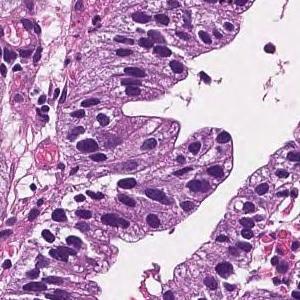
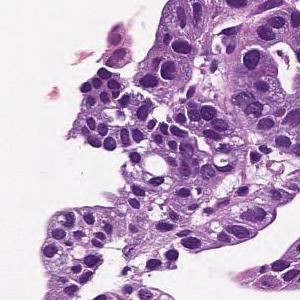
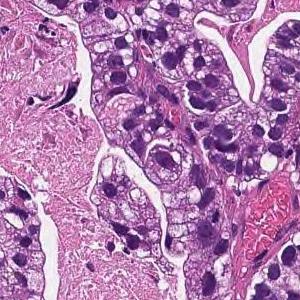
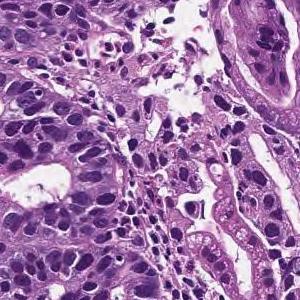
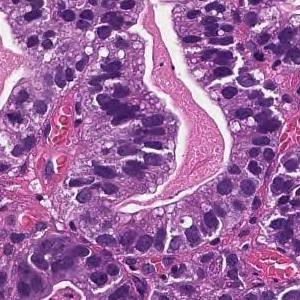
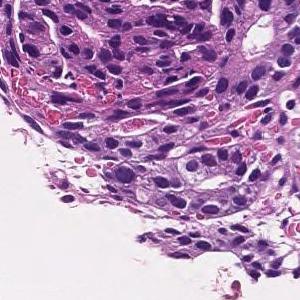
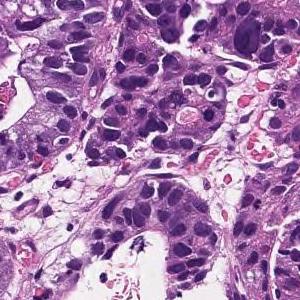
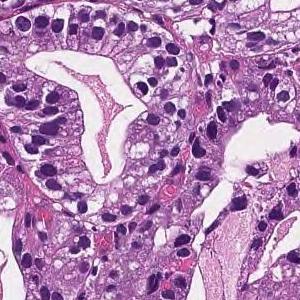
8 patches cut from one gastric biopsy slide, each 300 × 300 pixels, H&E.
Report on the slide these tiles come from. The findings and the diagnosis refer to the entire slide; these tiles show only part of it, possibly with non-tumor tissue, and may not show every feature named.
On the superficial epithelium, tumor tissue consisting of large, irregular glandular ducts partially fused and infiltrated is observed. Well to moderately differentiated tubular adenocarcinoma (well differentiated tubular adenocarcinoma, moderately differentiated tubular adenocarcinoma)
Histological subtype: Well to moderately differentiated tubular adenocarcinoma.
